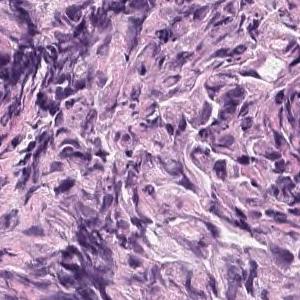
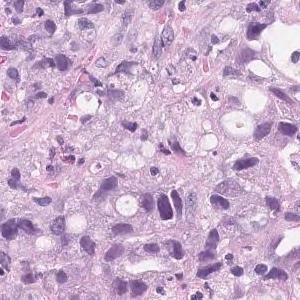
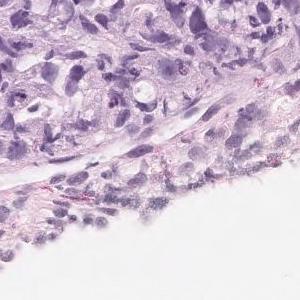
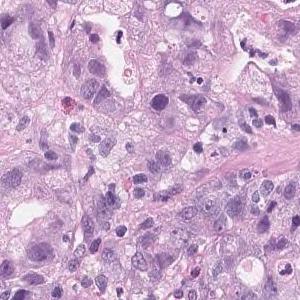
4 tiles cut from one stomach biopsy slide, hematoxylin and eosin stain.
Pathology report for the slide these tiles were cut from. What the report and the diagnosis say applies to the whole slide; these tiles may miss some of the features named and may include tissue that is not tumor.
Tumor tissue that infiltrates and proliferates by forming small glandular cavities in the superficial layer to the submucosa or forming a mass is observed. moderately differentiated tubular adenocarcinoma
